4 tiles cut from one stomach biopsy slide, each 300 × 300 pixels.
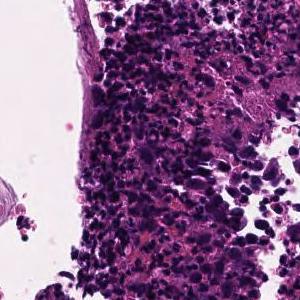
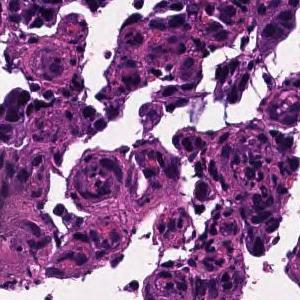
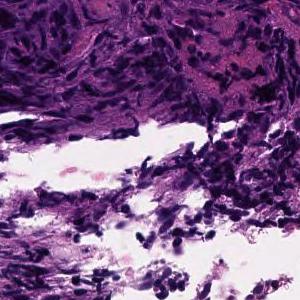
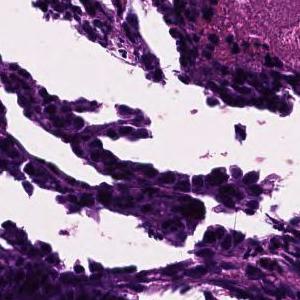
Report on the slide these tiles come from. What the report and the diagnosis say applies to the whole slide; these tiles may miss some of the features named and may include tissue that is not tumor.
In the superficial epithelium, tumor tissue that invades by forming medium-sized to small, irregular ducts is observed. moderately differentiated tubular adenocarcinoma.
